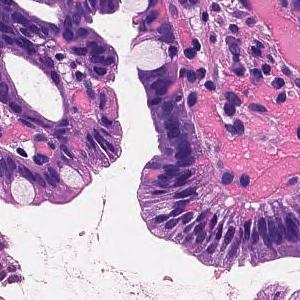
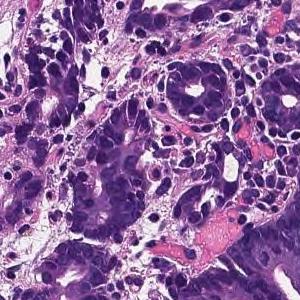
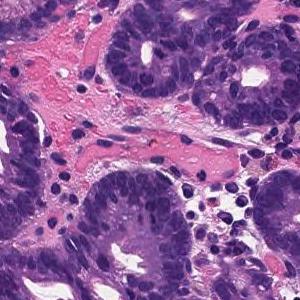
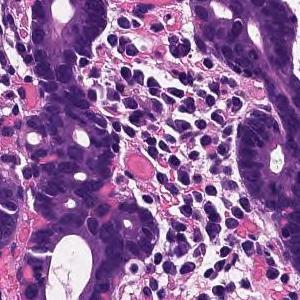
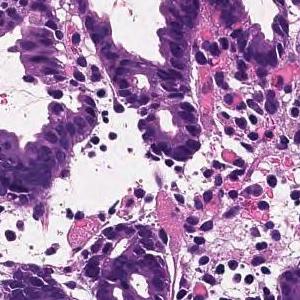
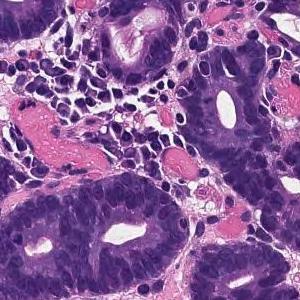
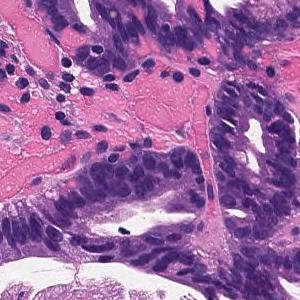
H&E; ×20; 7 image tiles from a single gastric biopsy slide; 300 × 300 pixels each.
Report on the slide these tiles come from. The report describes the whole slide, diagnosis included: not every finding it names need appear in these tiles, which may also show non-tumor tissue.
On the superficial epithelium, tumor tissue is found in which medium-sized irregular gland ducts fuse with each other and infiltrate. moderately differentiated tubular adenocarcinoma
